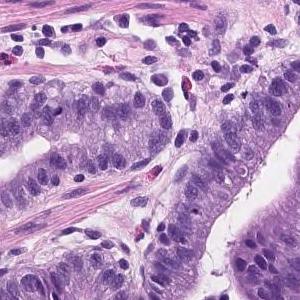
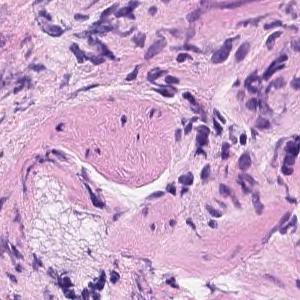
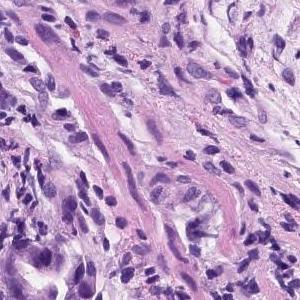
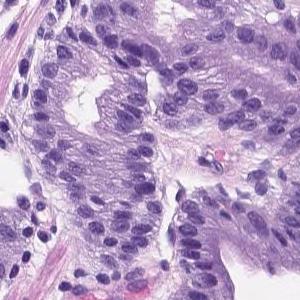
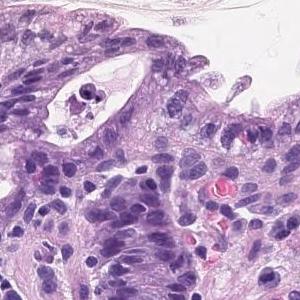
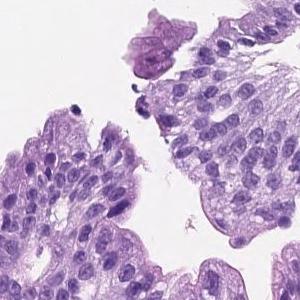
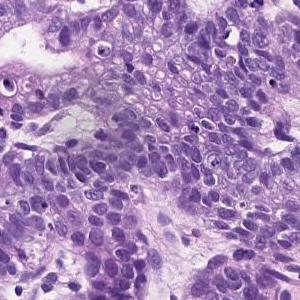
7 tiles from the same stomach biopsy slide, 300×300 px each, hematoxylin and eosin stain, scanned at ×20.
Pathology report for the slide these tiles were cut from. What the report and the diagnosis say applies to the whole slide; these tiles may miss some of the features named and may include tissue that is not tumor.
Tumor tissue consisting of medium-sized and irregular ducts is observed infiltrating in the superficial epithelium. Tumor cells are highly columnar, with nuclei aligned basolaterally and polarized. Well differentiated tubular adenocarcinoma.
